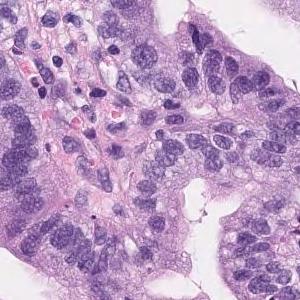
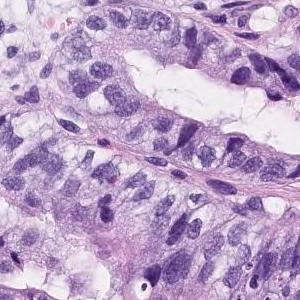
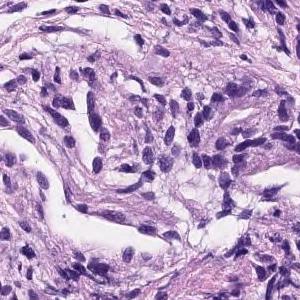
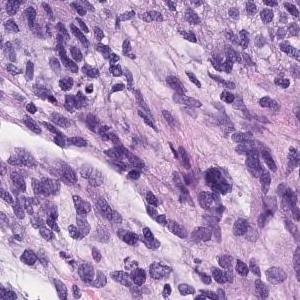
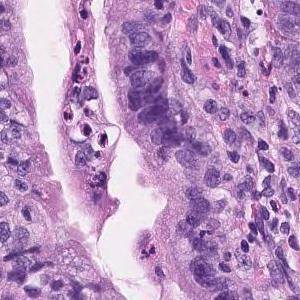
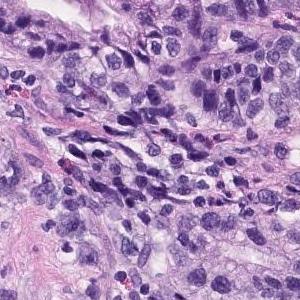
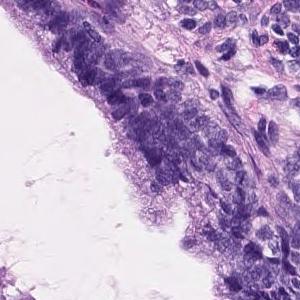
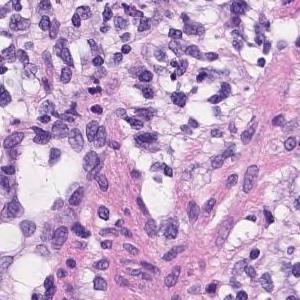
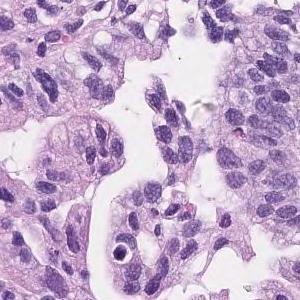
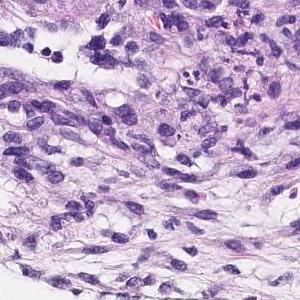
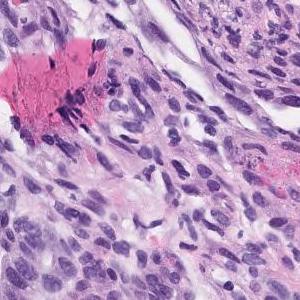
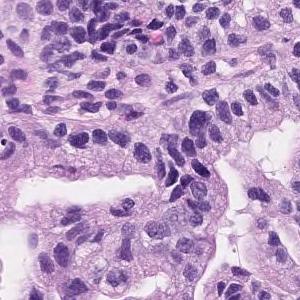
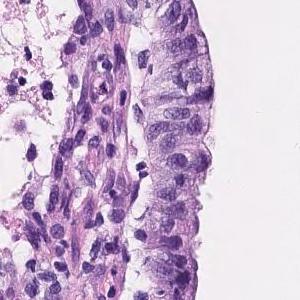
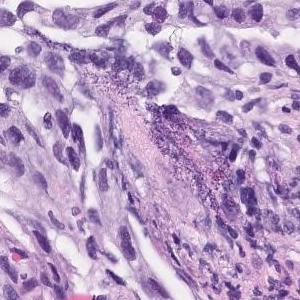
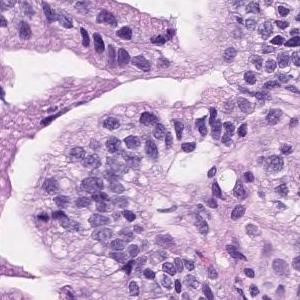
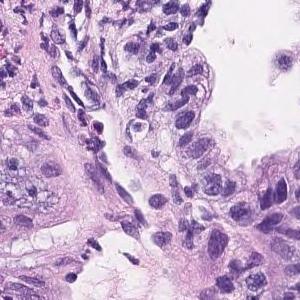
H&E, scanned at ×20, 16 tiles from the same stomach biopsy slide, 300 × 300 pixels each.
The pathologist's report on the biopsy slide these tiles were taken from. The findings and the diagnosis refer to the entire slide; these tiles show only part of it, possibly with non-tumor tissue, and may not show every feature named.
Tumor cells are large, highly columnar, large club-shaped nuclei, and are associated with chromatin aggregation. Papillary adenocarcinoma.
